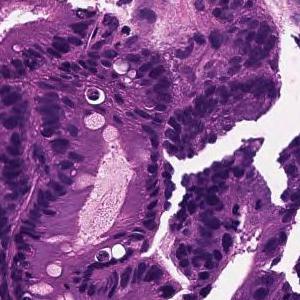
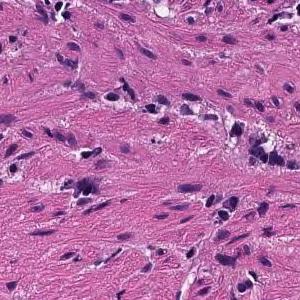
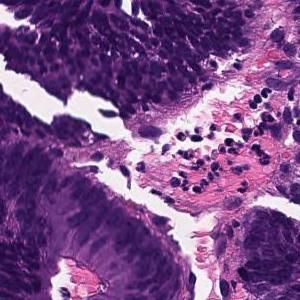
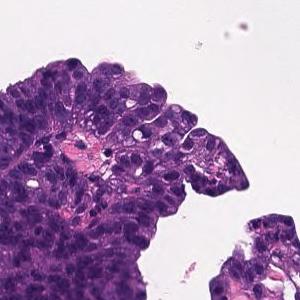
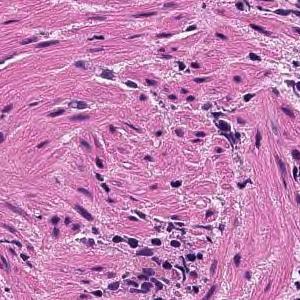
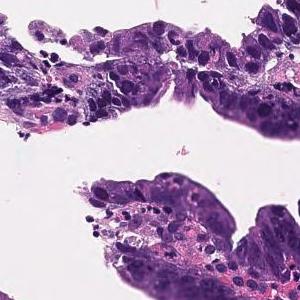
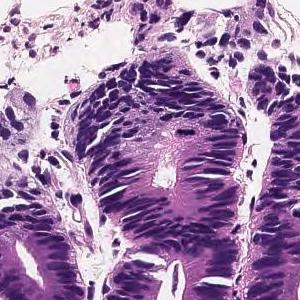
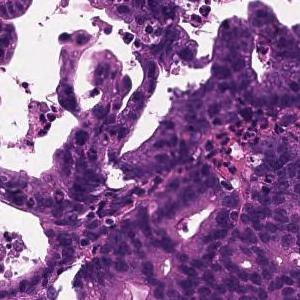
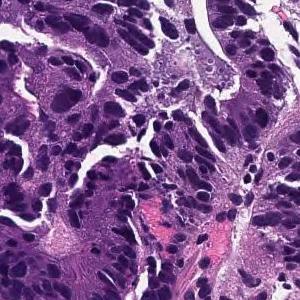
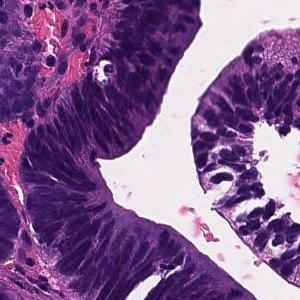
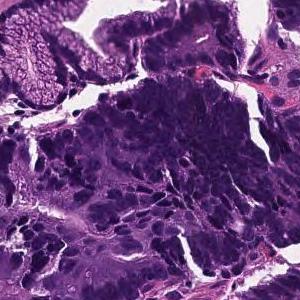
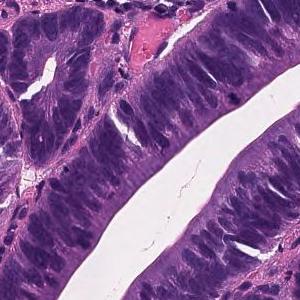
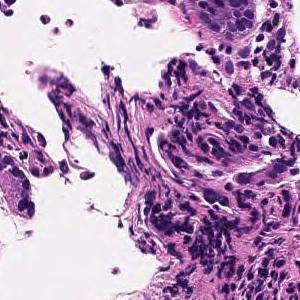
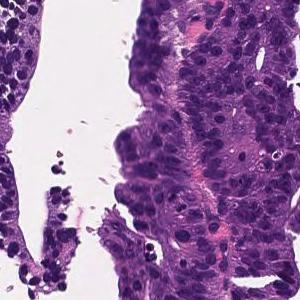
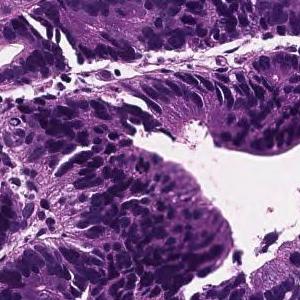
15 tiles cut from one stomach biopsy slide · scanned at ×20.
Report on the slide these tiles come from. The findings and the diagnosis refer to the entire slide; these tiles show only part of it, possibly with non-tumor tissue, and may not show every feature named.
Tumor tissue consisting of large papillary structures is found in the superficial epithelium. Papillary adenocarcinoma.
